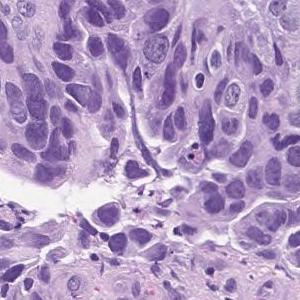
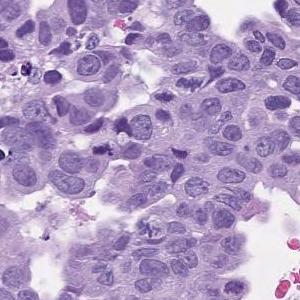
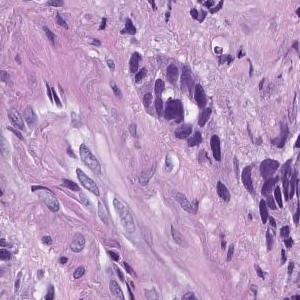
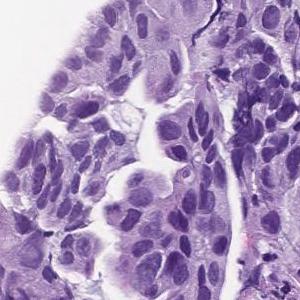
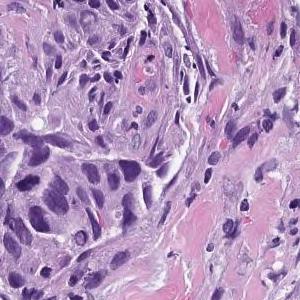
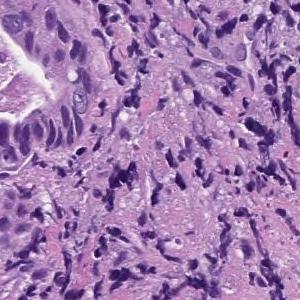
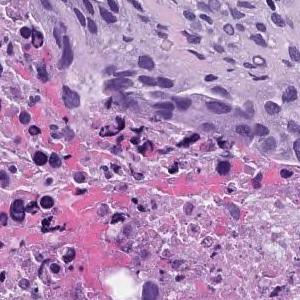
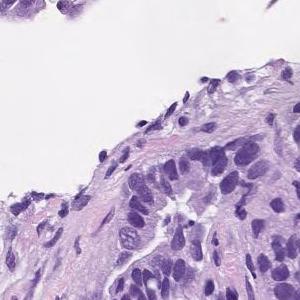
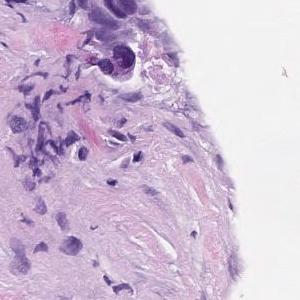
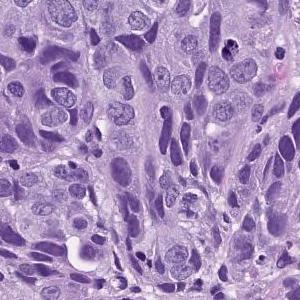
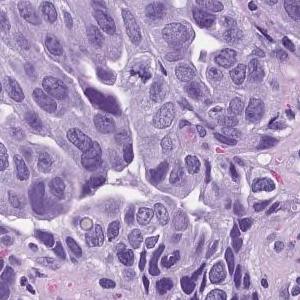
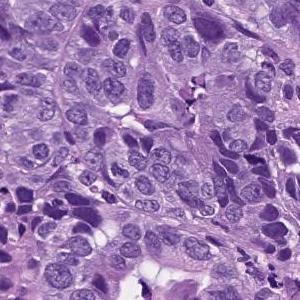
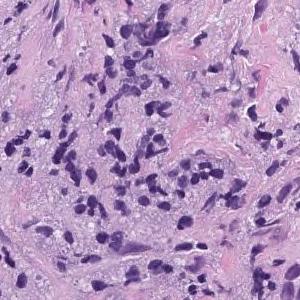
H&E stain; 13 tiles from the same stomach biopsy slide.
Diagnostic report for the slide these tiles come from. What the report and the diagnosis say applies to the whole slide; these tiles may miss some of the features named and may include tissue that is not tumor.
In the superficial epithelium, tumor tissue that invades by forming medium-sized to small, irregular ducts is observed. moderately differentiated tubular adenocarcinoma.
